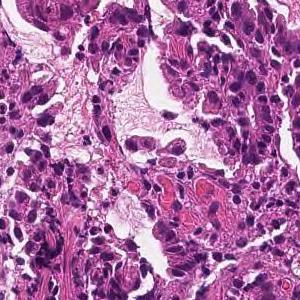
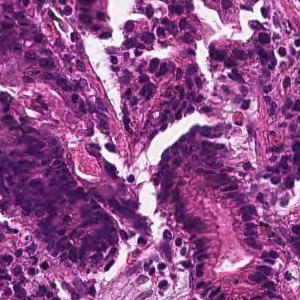
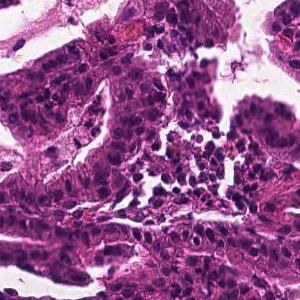
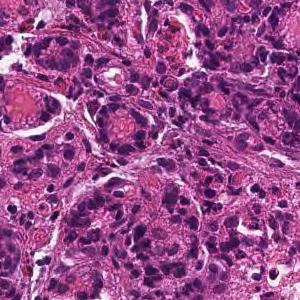
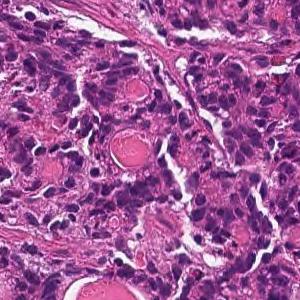
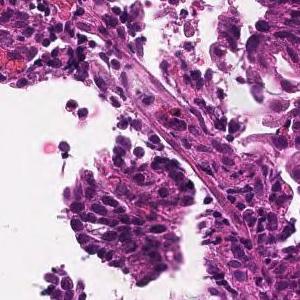
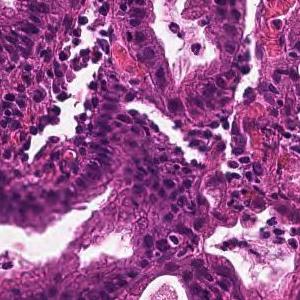
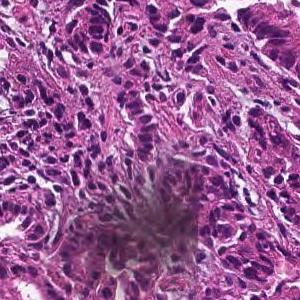
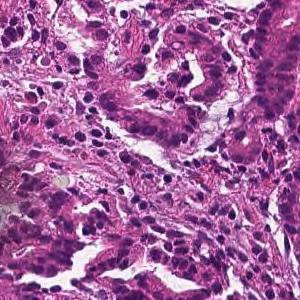
H&E · ×20 · 9 tiles cut from one stomach biopsy slide.
Pathology report for the biopsy slide these tiles were cut from. The report and the diagnosis cover the entire slide, so not every feature they name need be visible here, and some tissue shown may not be tumor.
From the superficial epithelium to the muscularis mucosae, tumor tissue consisting of medium-sized and irregular glandular ducts infiltrating is observed. Well differentiated tubular adenocarcinoma
